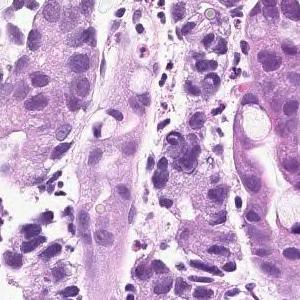
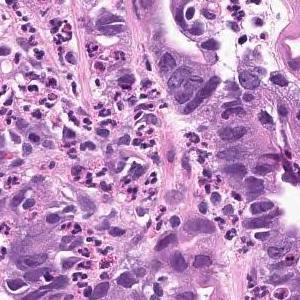
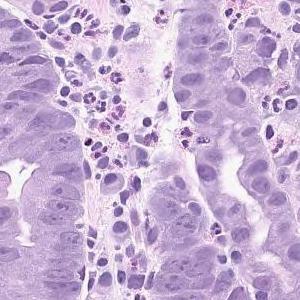
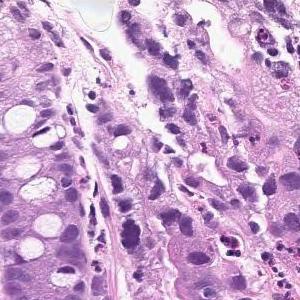
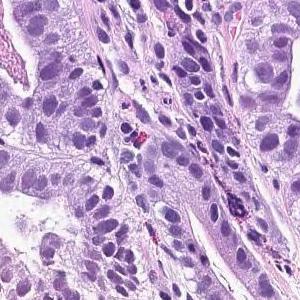
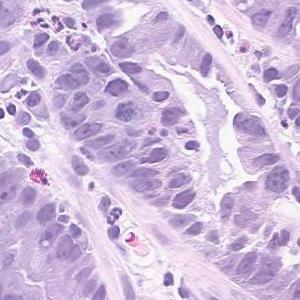
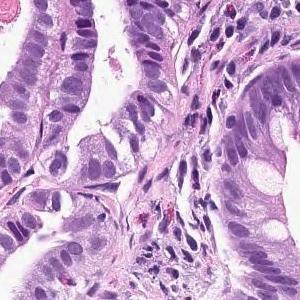
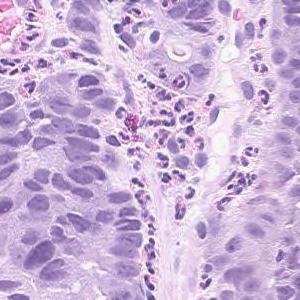
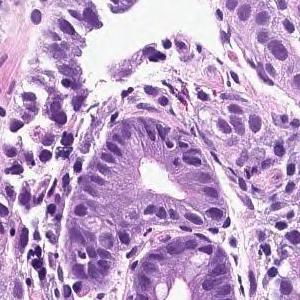
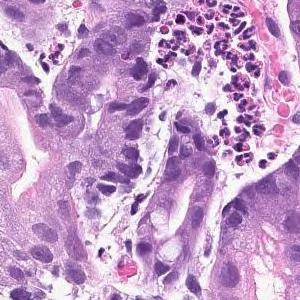
×20; H&E stain; 10 tiles cut from one stomach biopsy slide; each 300 × 300 pixels.
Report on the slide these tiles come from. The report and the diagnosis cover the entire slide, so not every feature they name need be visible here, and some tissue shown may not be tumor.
Infiltrating tumor tissue is observed in the superficial epithelium, showing large papillary structures or large and small ducts. Papillary adenocarcinoma
